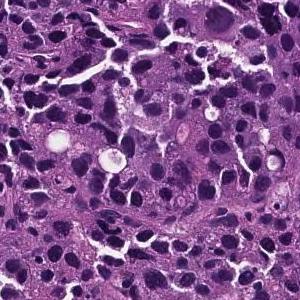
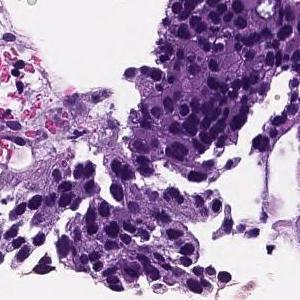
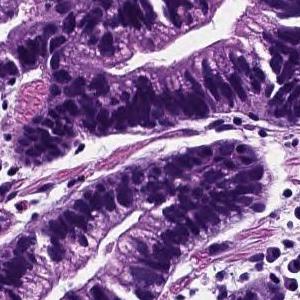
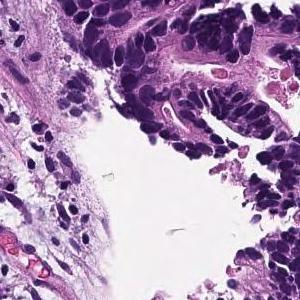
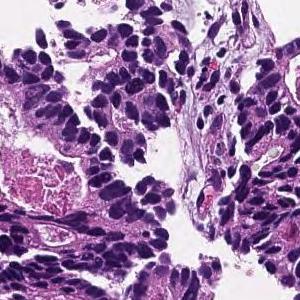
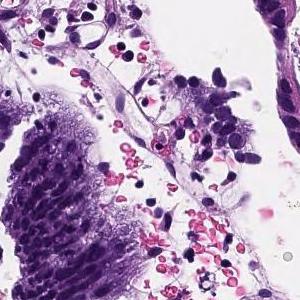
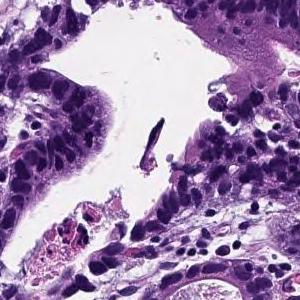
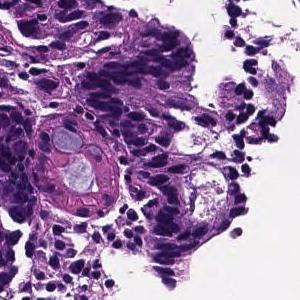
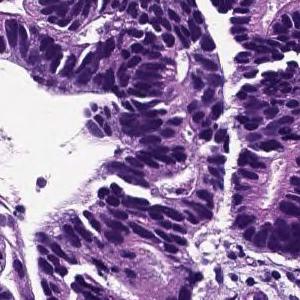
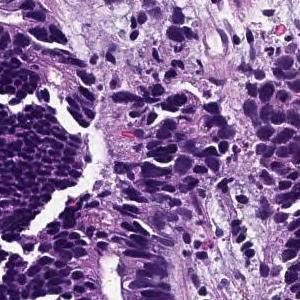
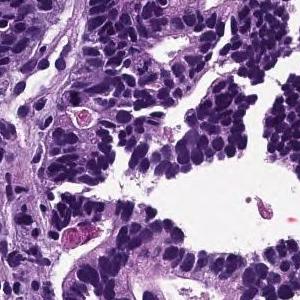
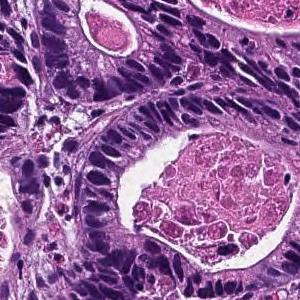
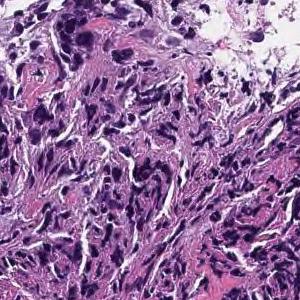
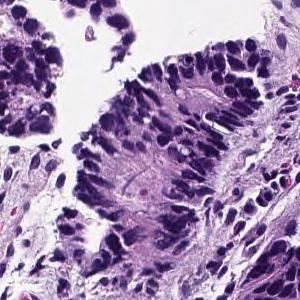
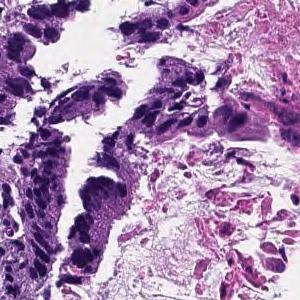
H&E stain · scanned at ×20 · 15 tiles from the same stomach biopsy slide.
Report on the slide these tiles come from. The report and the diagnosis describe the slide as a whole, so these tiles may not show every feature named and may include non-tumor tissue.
From the superficial epithelium to the muscularis mucosae, tumor tissue consisting of medium-sized and irregular glandular ducts infiltrating is observed. Well differentiated tubular adenocarcinoma
